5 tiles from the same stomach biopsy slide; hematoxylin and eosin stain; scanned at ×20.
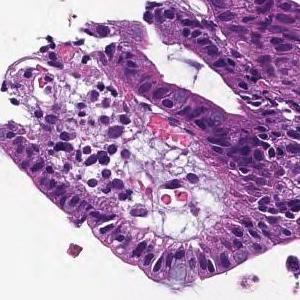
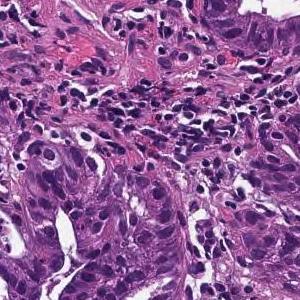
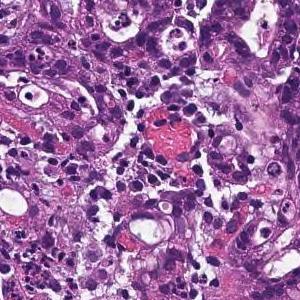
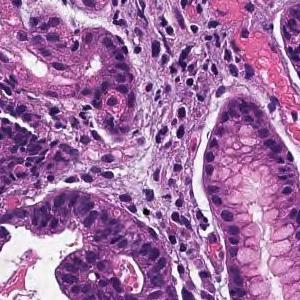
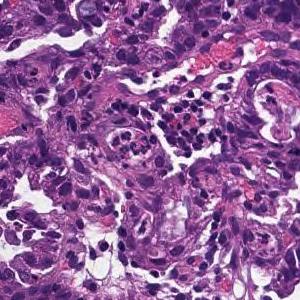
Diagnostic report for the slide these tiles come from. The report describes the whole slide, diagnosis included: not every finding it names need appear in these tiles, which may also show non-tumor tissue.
On the superficial epithelium, tumor tissue consisting of large irregular glandular ducts partially fused and infiltrated is observed. Well to moderately differentiated tubular adenocarcinoma (well differentiated tubular adenocarcinoma, moderately differentiated tubular adenocarcinoma)
Histological subtype: Well to moderately differentiated tubular adenocarcinoma.
